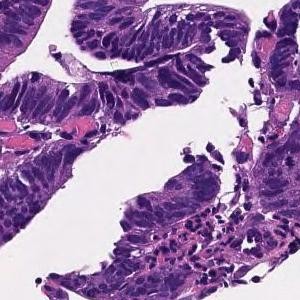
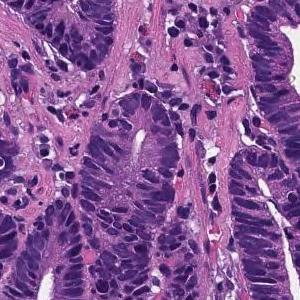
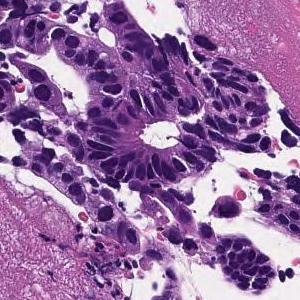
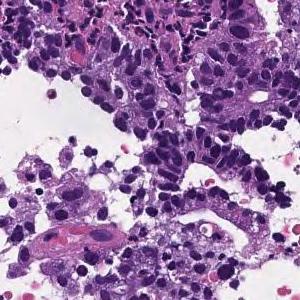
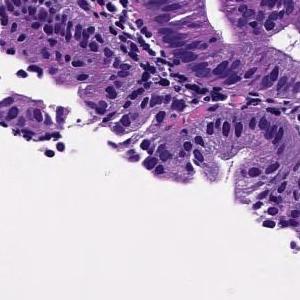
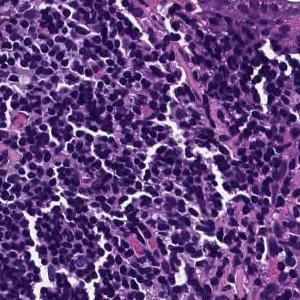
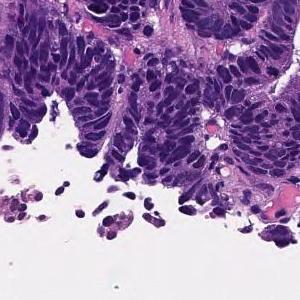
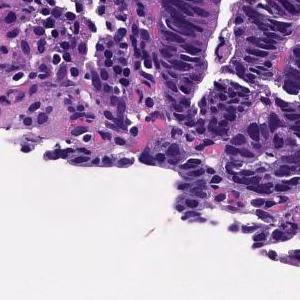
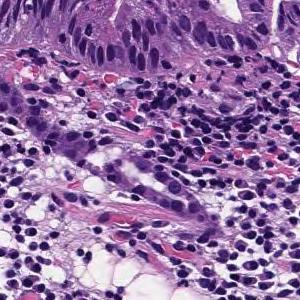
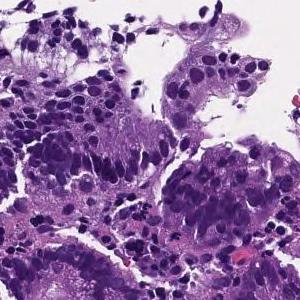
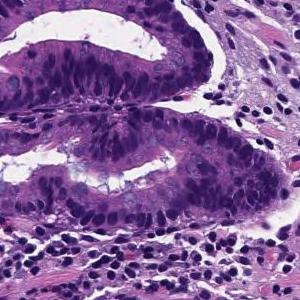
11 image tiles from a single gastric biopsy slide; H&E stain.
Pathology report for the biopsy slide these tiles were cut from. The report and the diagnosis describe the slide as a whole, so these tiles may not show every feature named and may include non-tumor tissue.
From the superficial epithelium to the muscularis mucosae, tumor tissue consisting of medium-sized and irregular glandular ducts infiltrating is observed. Well differentiated tubular adenocarcinoma
